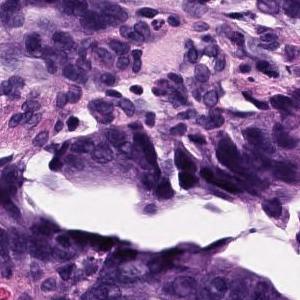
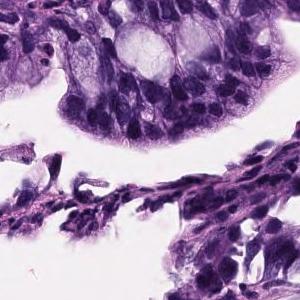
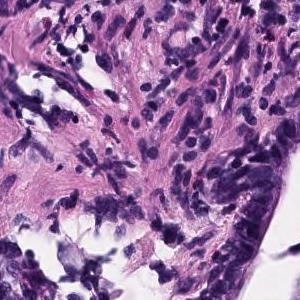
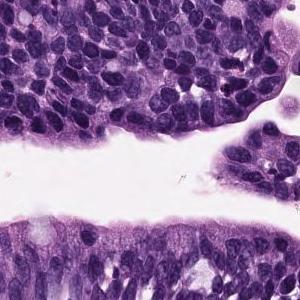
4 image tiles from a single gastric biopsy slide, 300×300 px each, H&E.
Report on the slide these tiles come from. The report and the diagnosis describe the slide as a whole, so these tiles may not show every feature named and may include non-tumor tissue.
Atypical epithelium proliferating showing villus construction and irregular gland duct construction is observed. Moderately differentiated tubular adenocarcinoma.
